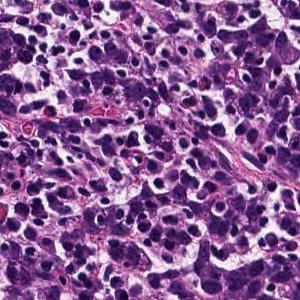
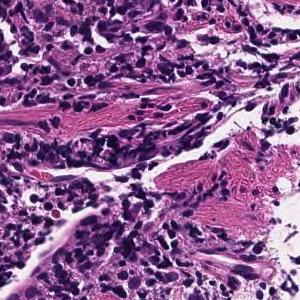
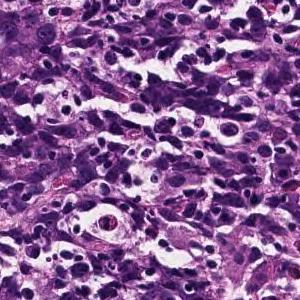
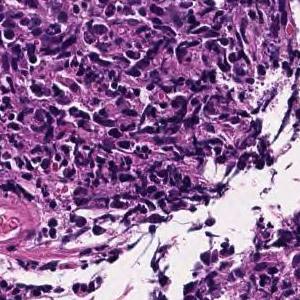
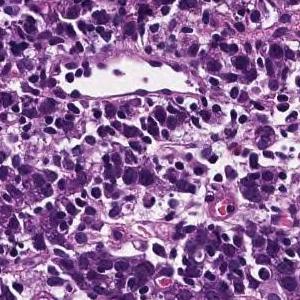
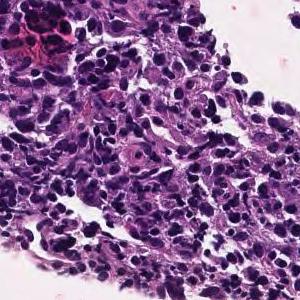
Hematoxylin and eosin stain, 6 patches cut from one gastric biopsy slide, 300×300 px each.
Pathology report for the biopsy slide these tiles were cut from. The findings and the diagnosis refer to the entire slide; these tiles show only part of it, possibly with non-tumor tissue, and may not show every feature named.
Tumor tissue consisting of cord-like or small, irregular glandular ducts fused and infiltrated is observed in the superficial epithelium. Poorly differentiated adenocarcinoma, non-solid type
The non-solid type named here is a Japanese Classification of Gastric Carcinoma category.
